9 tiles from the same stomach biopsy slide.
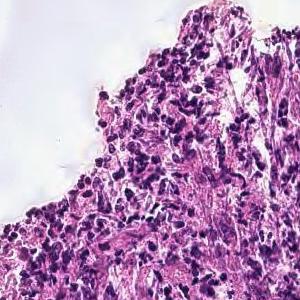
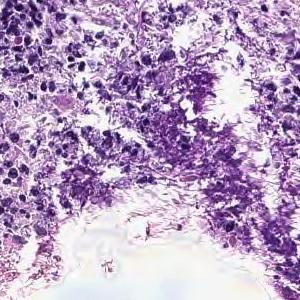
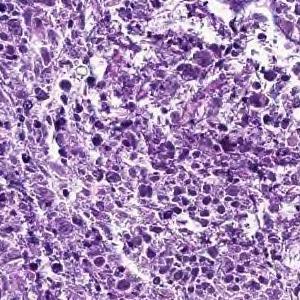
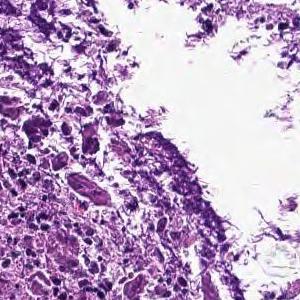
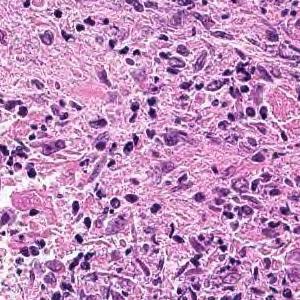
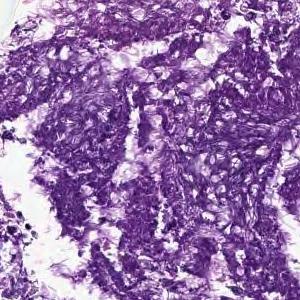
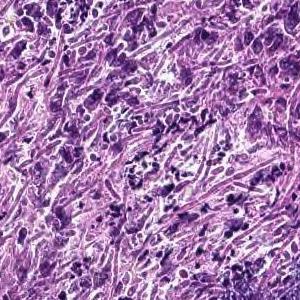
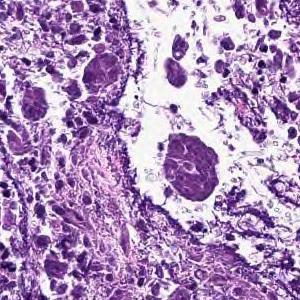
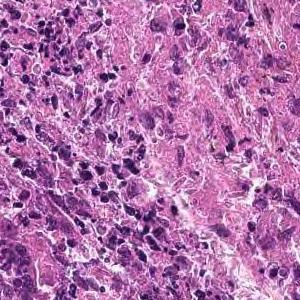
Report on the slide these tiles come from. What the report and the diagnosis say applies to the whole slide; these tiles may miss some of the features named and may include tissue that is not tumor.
Cancers with polygonal nuclei do not show glandular formation and are densely, in part, cord-like and proliferate. Poorly differentiated adenocarcinoma
Histological subtype: Poorly differentiated adenocarcinoma, non-solid type.
The term "non-solid type" comes from the Japanese Classification of Gastric Carcinoma.
